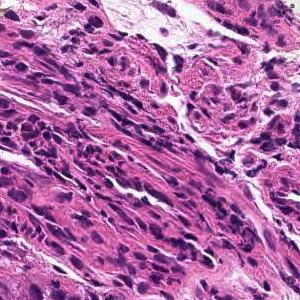
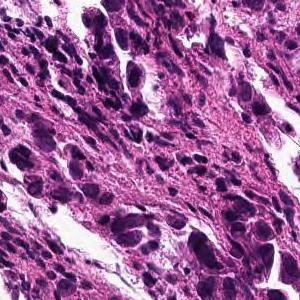
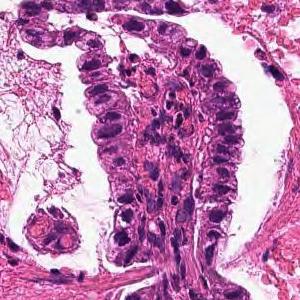
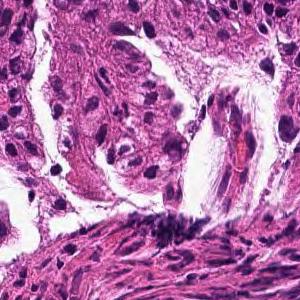
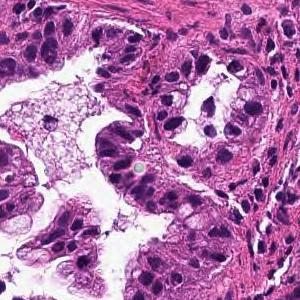
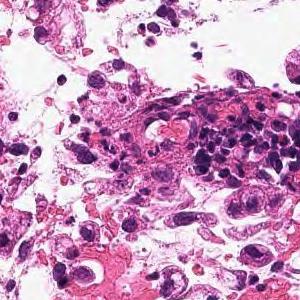
H&E, scanned at ×20, 6 tiles cut from one stomach biopsy slide.
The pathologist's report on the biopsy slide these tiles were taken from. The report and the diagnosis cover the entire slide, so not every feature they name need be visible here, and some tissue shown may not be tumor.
From the superficial epithelium to the muscularis mucosae, tumor tissue infiltrating by forming medium-sized irregular gland ducts is observed. Well differentiated tubular adenocarcinoma
